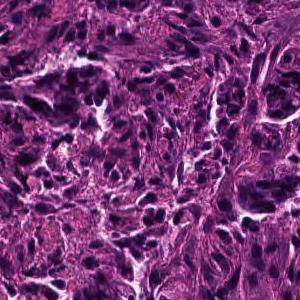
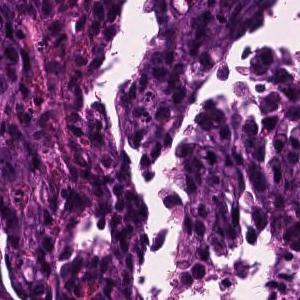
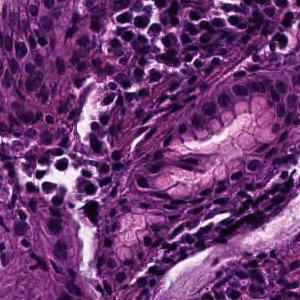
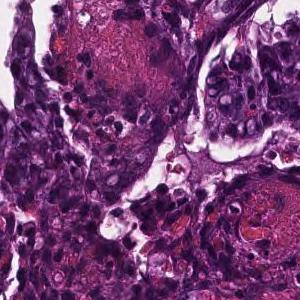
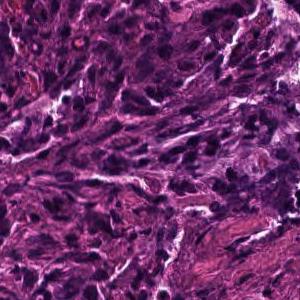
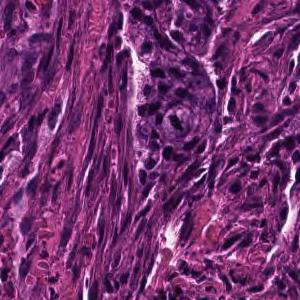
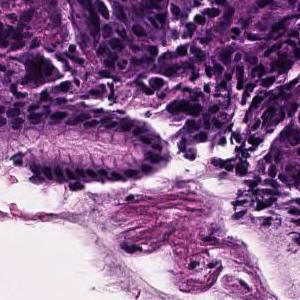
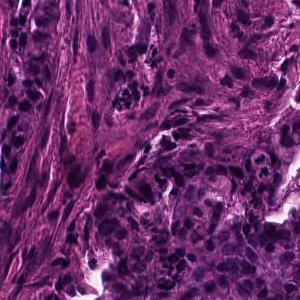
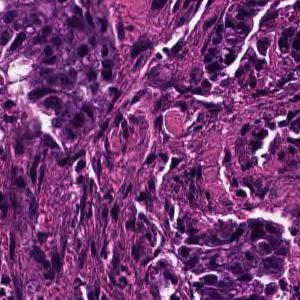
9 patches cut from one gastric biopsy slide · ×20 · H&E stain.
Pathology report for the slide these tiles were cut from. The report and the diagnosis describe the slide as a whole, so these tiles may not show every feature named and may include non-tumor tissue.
Tumor tissue consisting of medium-sized, cord-like or irregular glandular infiltration is observed in the superficial epithelium. Poorly differentiated adenocarcinoma, non-solid type or moderately differentiated tubular adenocarcinoma
Classified as moderately to poorly differentiated adenocarcinoma.
"Non-solid type" is a category of the Japanese Classification of Gastric Carcinoma.
